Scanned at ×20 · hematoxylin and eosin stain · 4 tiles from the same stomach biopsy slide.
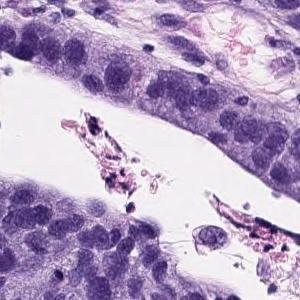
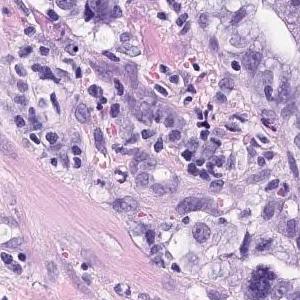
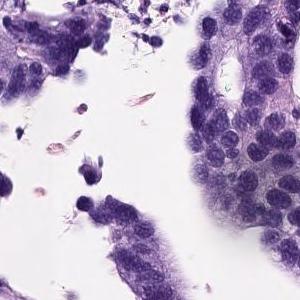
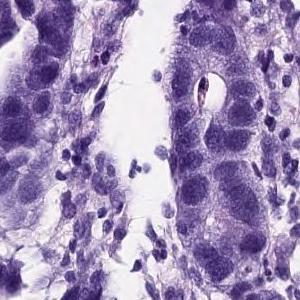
Pathology report for the biopsy slide these tiles were cut from. The report and the diagnosis describe the slide as a whole, so these tiles may not show every feature named and may include non-tumor tissue.
On the superficial epithelium, tumor tissue consisting of medium to small irregular tubules partially fused and proliferated is observed. moderately differentiated tubular adenocarcinoma
